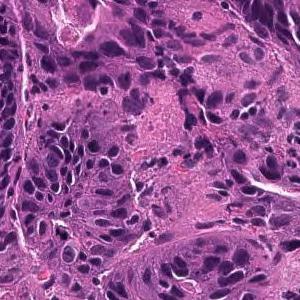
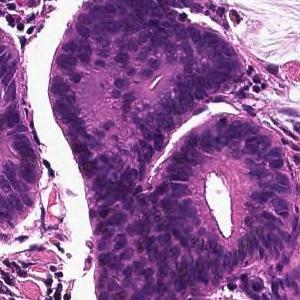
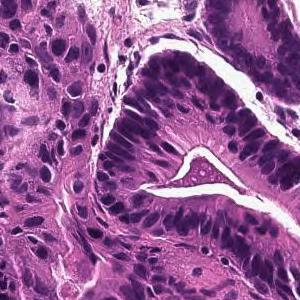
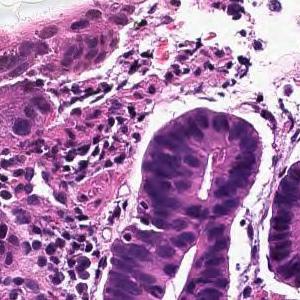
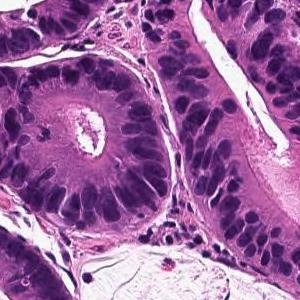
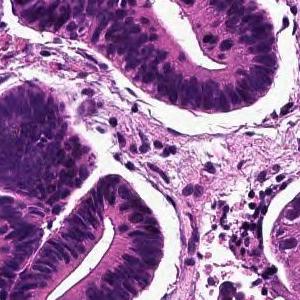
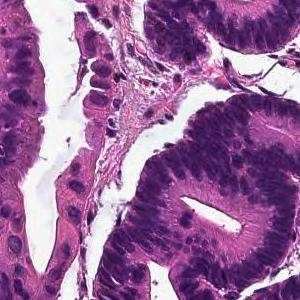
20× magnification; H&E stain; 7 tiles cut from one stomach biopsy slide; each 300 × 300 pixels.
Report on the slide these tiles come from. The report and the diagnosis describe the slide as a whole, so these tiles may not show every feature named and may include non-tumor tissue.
From the superficial epithelium to the muscularis mucosae, tumor tissue consisting of medium-sized and irregular glandular ducts infiltrating is observed. Well differentiated tubular adenocarcinoma
